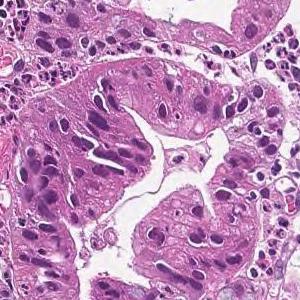
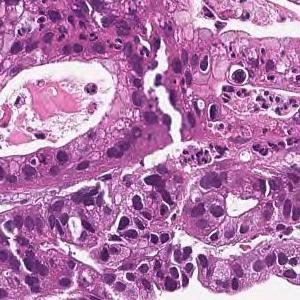
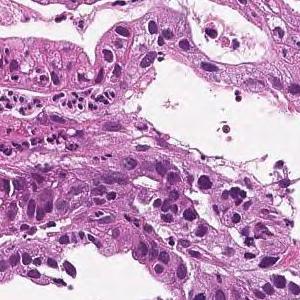
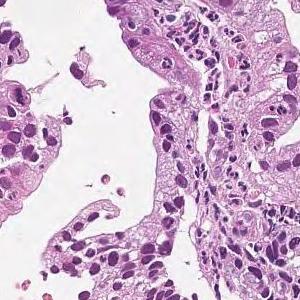
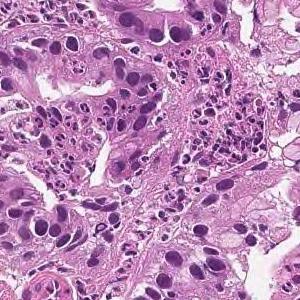
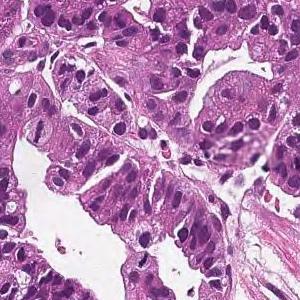
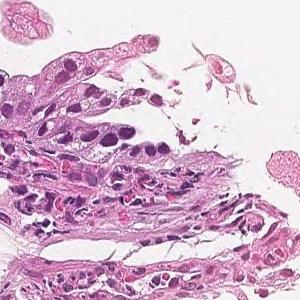
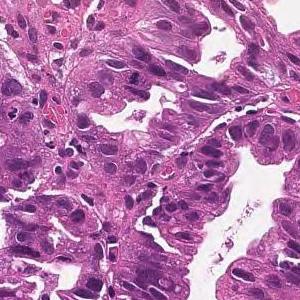
8 patches cut from one gastric biopsy slide.
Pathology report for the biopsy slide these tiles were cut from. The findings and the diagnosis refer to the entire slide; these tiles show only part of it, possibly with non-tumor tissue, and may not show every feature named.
On the superficial epithelium, tumor tissue that infiltrates by forming medium-sized papillary or small irregular ducts is observed. Papillary adenocarcinoma
